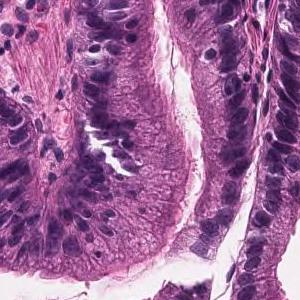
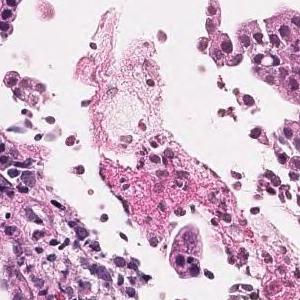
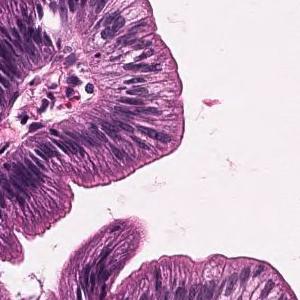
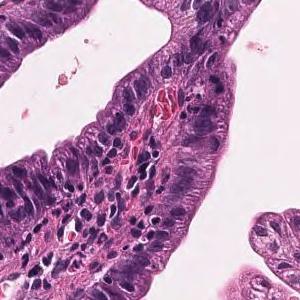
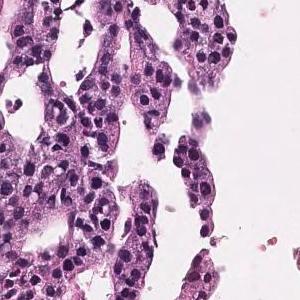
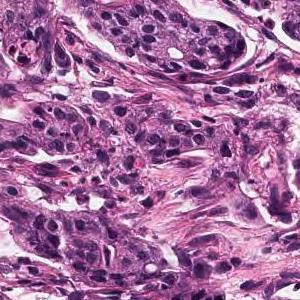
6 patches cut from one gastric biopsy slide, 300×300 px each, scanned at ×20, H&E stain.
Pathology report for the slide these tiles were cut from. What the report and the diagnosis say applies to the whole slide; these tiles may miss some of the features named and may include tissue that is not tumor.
Tumor tissue that grows invasively while the short atypical epithelium forms small ducts is observed. moderately differentiated tubular adenocarcinoma
